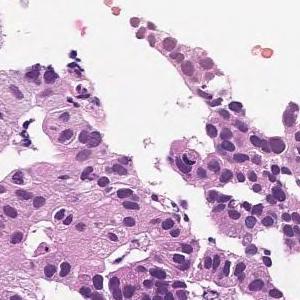
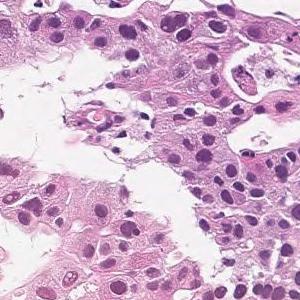
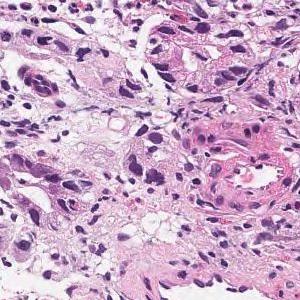
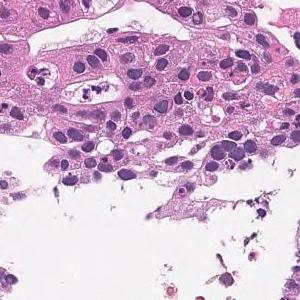
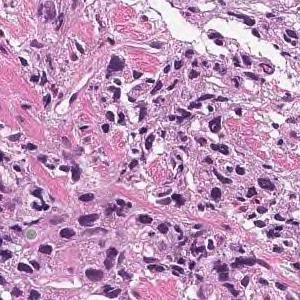
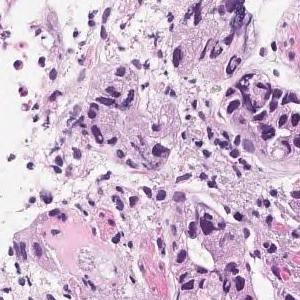
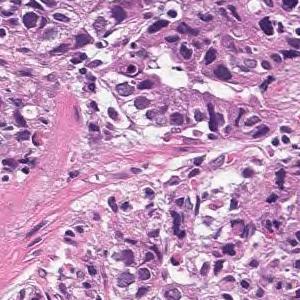
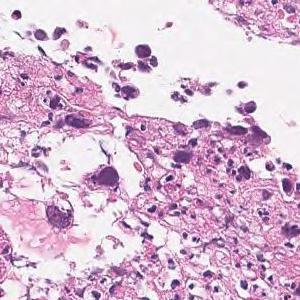
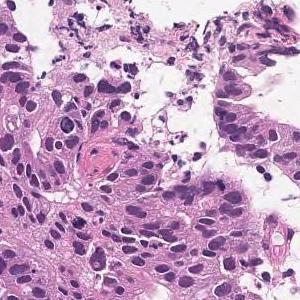
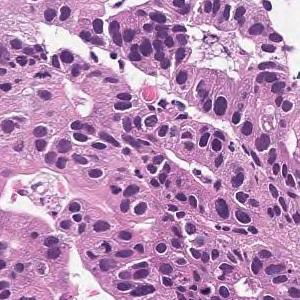
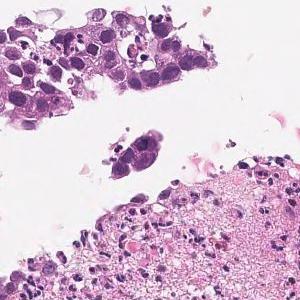
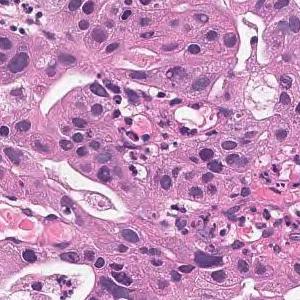
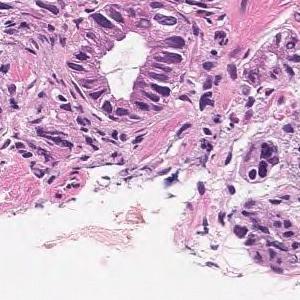
13 image tiles from a single gastric biopsy slide · 300×300 px each · hematoxylin and eosin stain · ×20.
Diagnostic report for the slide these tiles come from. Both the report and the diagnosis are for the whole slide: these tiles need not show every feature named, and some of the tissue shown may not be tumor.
Tumor tissue that grows by forming gland ducts from the surface layer to the submucosa is observed. moderately differentiated tubular adenocarcinoma
